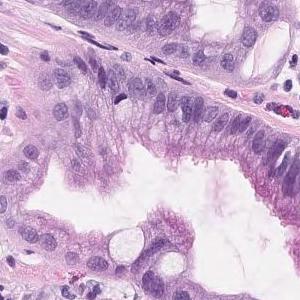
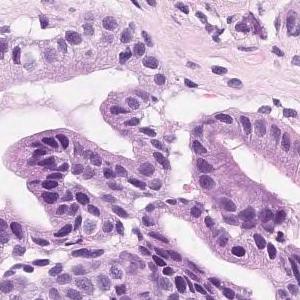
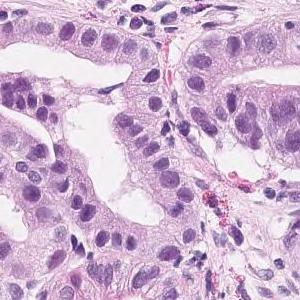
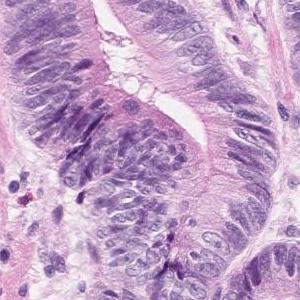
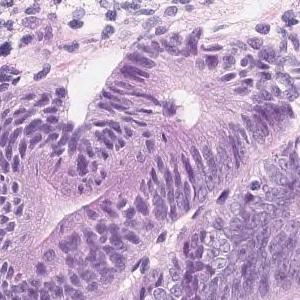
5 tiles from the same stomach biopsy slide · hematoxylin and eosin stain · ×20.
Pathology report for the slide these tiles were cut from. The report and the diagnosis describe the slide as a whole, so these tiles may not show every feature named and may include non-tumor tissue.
Short atypical epithelium with swelling of the nucleus shows proliferating, large and small irregular ductal structures. Well to moderately differentiated tubular adenocarcinoma (well differentiated tubular adenocarcinoma-moderately differentiated tubular adenocarcinoma)
Tumor subtype: well to moderately differentiated tubular adenocarcinoma.
